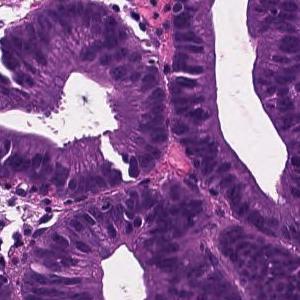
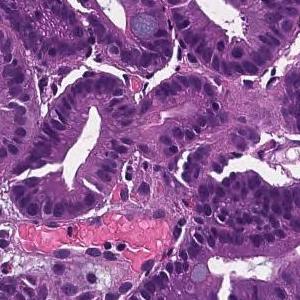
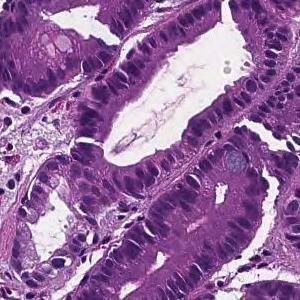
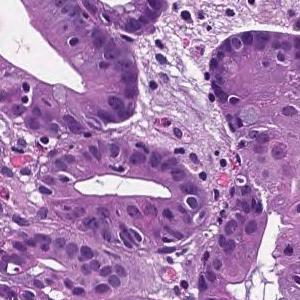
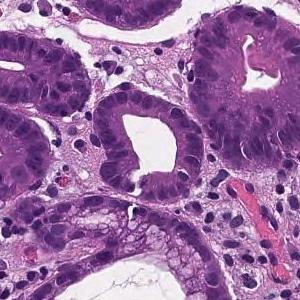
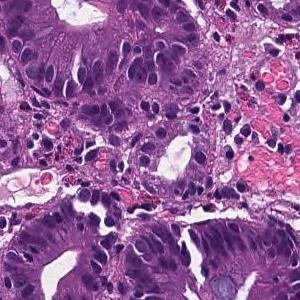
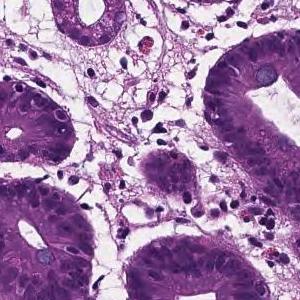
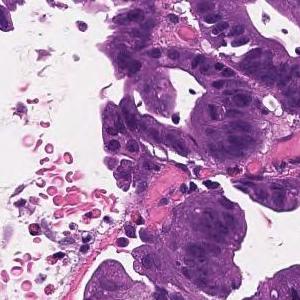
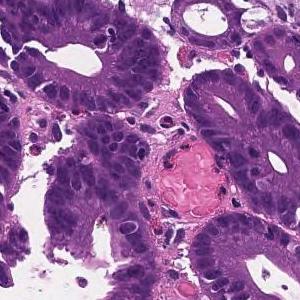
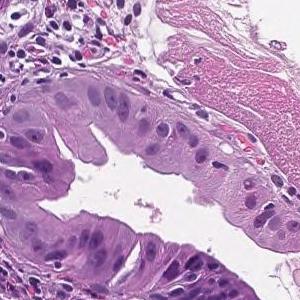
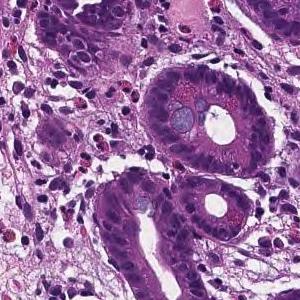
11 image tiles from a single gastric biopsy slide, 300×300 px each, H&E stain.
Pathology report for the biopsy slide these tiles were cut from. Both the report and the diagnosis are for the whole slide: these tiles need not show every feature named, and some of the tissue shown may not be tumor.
From the superficial epithelium to the muscularis mucosae, tumor tissue consisting of medium-sized and irregular glandular ducts infiltrating is observed. Well differentiated tubular adenocarcinoma
